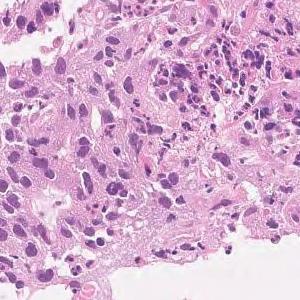
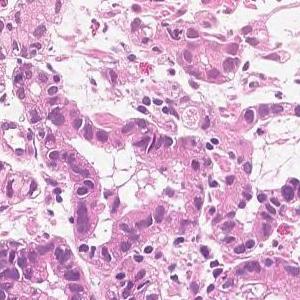
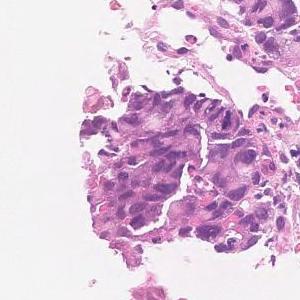
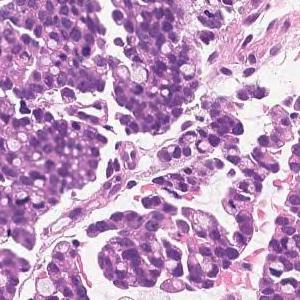
Hematoxylin and eosin stain, scanned at ×20, 4 image tiles from a single gastric biopsy slide, each 300 × 300 pixels.
Diagnostic report for the slide these tiles come from. What the report and the diagnosis say applies to the whole slide; these tiles may miss some of the features named and may include tissue that is not tumor.
Medium to small, irregular glandular ducts are formed in the superficial epithelium, and in some cases, the glandular ducts are fused to show solid alveolar lesions and infiltrating tumor tissue is observed. Moderately to poorly differentiated adenocarcinoma.
